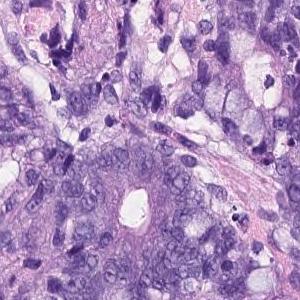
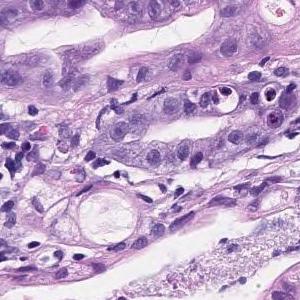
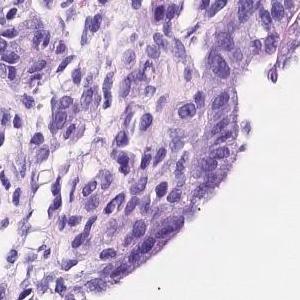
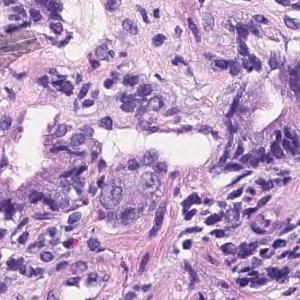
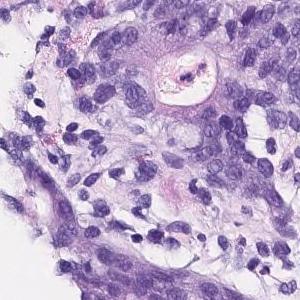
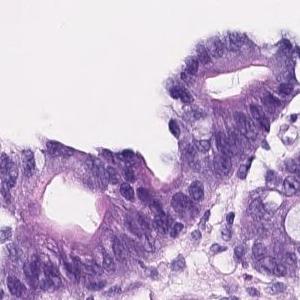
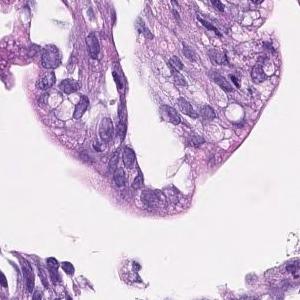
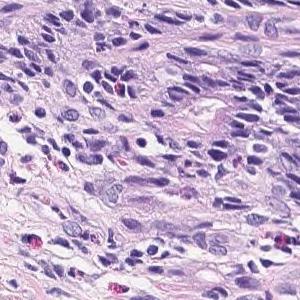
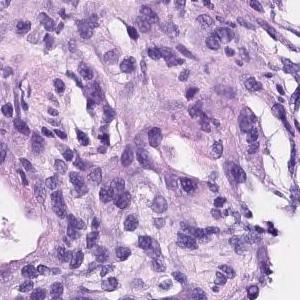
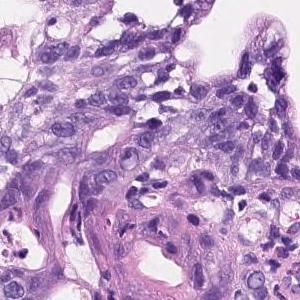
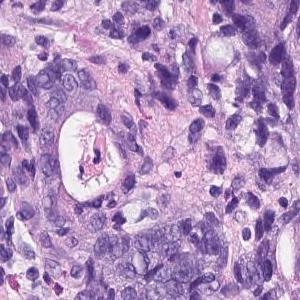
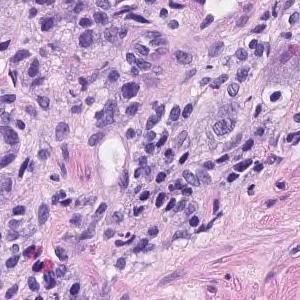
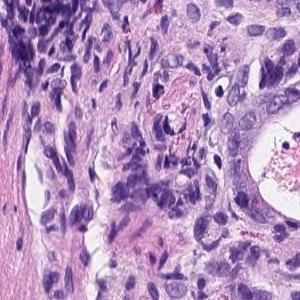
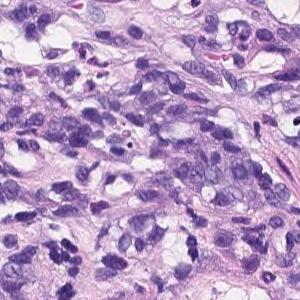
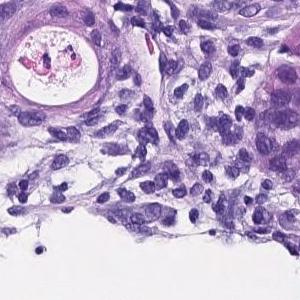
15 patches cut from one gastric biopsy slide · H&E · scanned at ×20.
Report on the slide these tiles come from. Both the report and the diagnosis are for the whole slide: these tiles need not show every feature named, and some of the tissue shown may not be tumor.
Irregularly fused atypical ducts proliferating while replacing existing ducts was observed. moderately differentiated tubular adenocarcinoma
